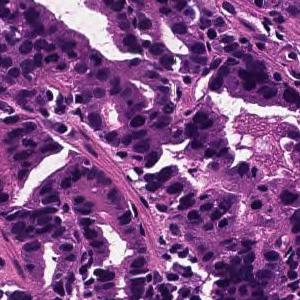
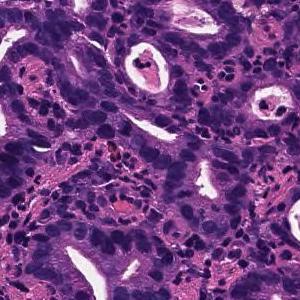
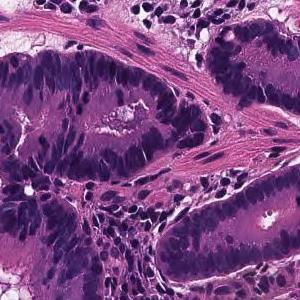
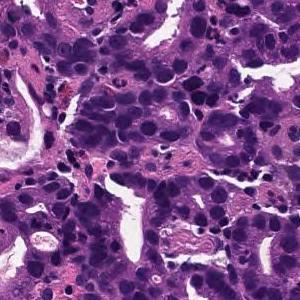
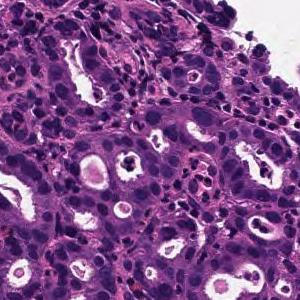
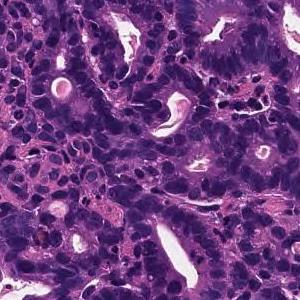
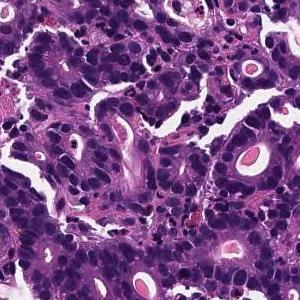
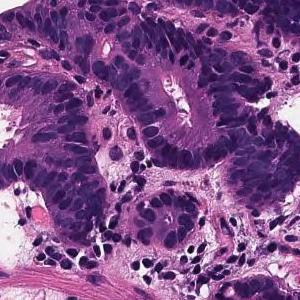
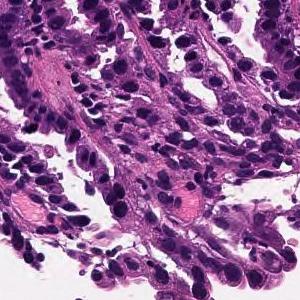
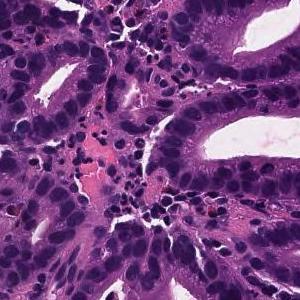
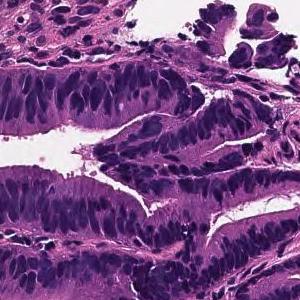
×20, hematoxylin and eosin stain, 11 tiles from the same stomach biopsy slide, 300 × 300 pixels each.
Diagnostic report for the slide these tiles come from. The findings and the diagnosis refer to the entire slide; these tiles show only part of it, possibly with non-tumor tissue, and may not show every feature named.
On the superficial epithelium, tumor tissue is found in which medium-sized irregular gland ducts fuse with each other and infiltrate. moderately differentiated tubular adenocarcinoma
